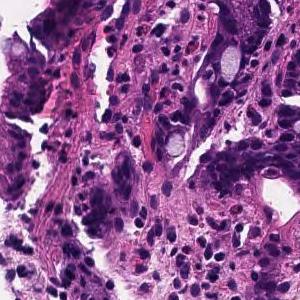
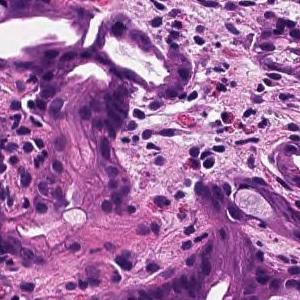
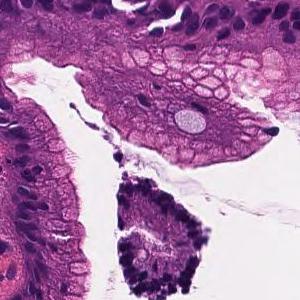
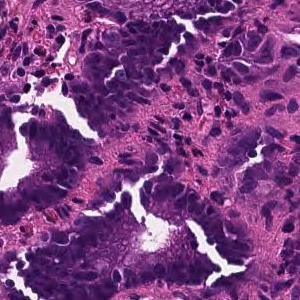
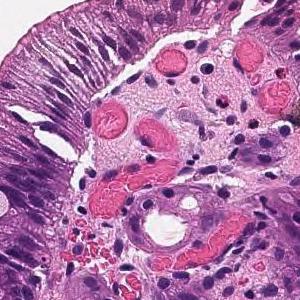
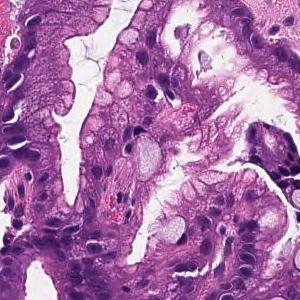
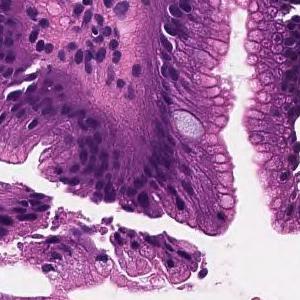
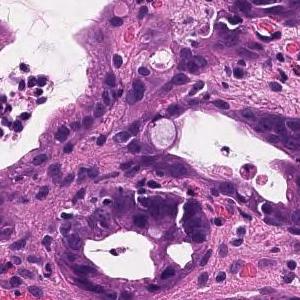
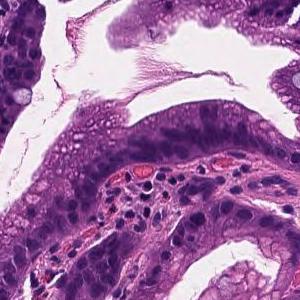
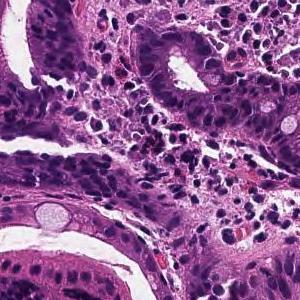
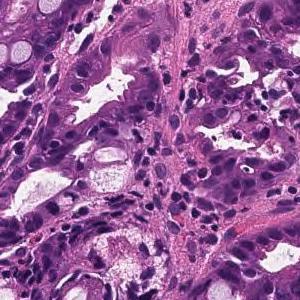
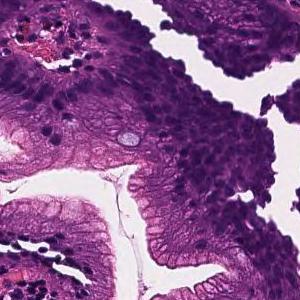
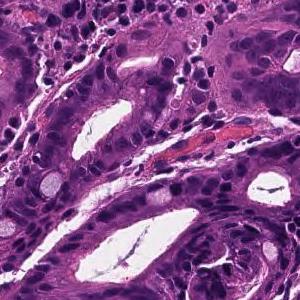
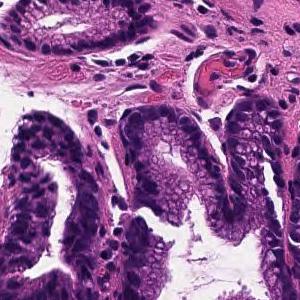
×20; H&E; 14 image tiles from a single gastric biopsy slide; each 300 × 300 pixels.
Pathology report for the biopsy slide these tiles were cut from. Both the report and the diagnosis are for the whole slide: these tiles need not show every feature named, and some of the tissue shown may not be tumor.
From the superficial epithelium to the muscularis mucosae, tumor tissue consisting of medium-sized and irregular glandular ducts infiltrating is observed. Well differentiated tubular adenocarcinoma
